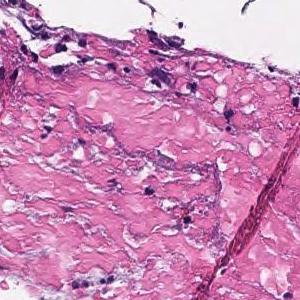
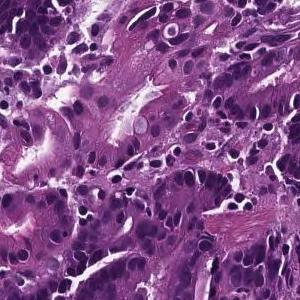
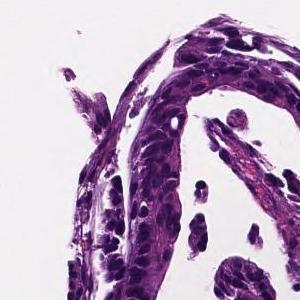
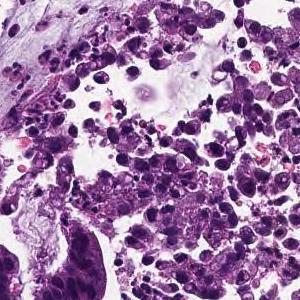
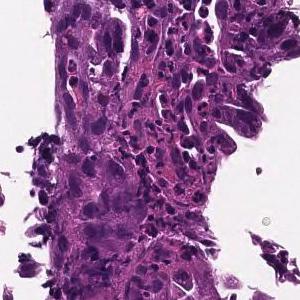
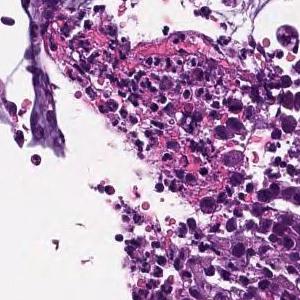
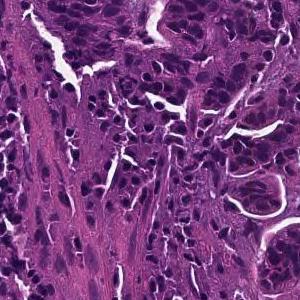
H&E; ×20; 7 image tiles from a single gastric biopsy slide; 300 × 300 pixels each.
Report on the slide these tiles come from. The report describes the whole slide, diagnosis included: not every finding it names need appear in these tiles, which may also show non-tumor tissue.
On the superficial epithelium, tumor tissue consisting of large irregular glandular ducts partially fused and infiltrated is observed. Well to moderately differentiated tubular adenocarcinoma (well differentiated tubular adenocarcinoma, moderately differentiated tubular adenocarcinoma)
Tumor subtype: well to moderately differentiated tubular adenocarcinoma.
